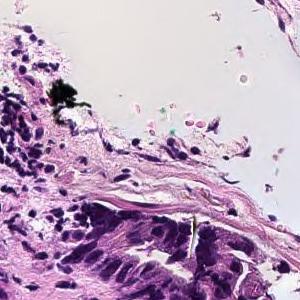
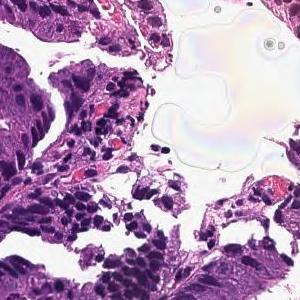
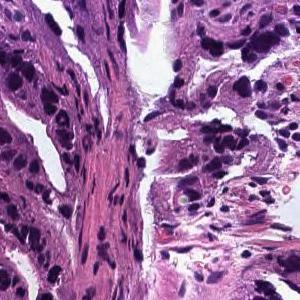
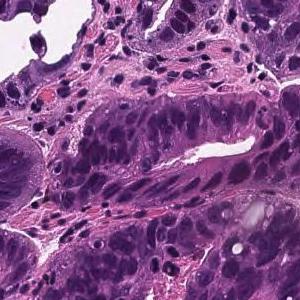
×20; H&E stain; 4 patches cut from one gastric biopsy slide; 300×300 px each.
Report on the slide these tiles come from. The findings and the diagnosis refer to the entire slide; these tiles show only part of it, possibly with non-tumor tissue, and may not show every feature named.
In the superficial epithelium, tumor tissue that invades by forming medium-sized to small, irregular ducts is observed. moderately differentiated tubular adenocarcinoma.
